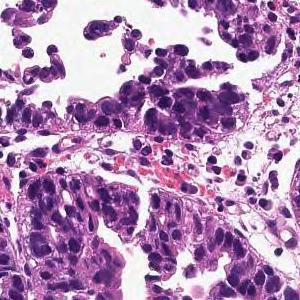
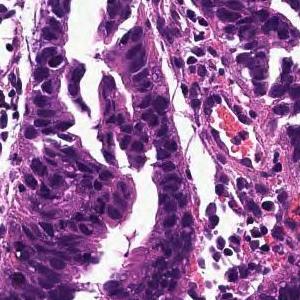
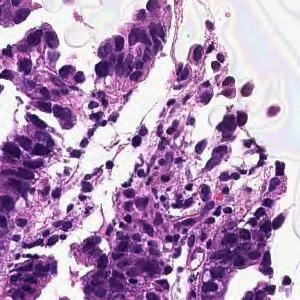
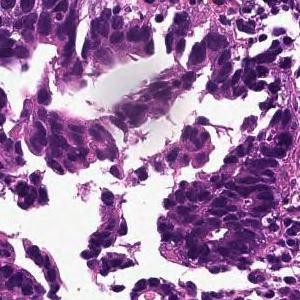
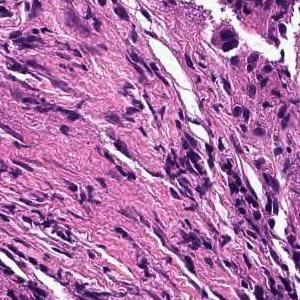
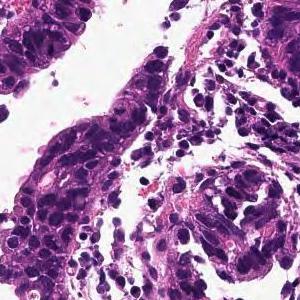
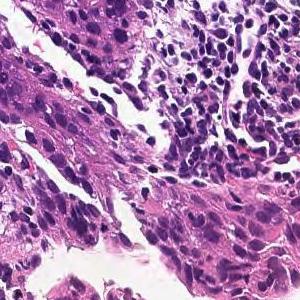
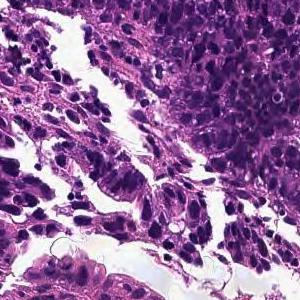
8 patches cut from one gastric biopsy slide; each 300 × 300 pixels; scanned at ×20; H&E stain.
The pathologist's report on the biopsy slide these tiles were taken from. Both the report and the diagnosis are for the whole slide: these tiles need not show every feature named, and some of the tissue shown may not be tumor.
In the superficial epithelium, tumor tissue that invades by forming medium-sized to small, irregular ducts is observed. moderately differentiated tubular adenocarcinoma.
